×20, H&E, 12 tiles from the same stomach biopsy slide, 300×300 px each.
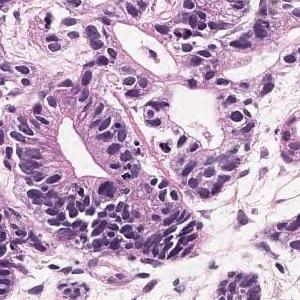
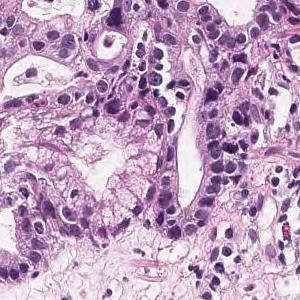
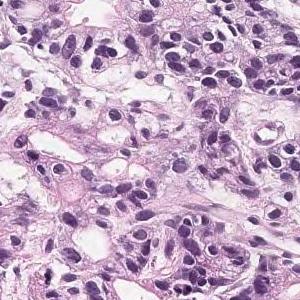
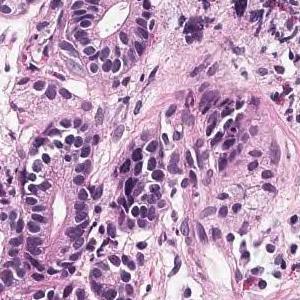
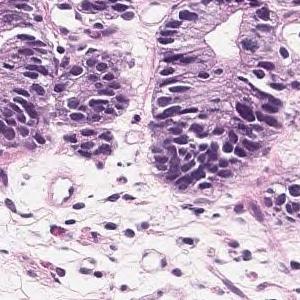
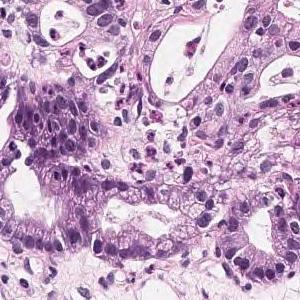
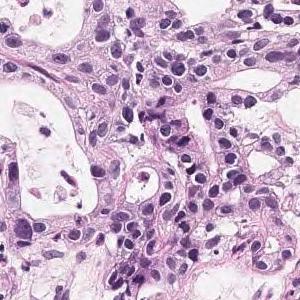
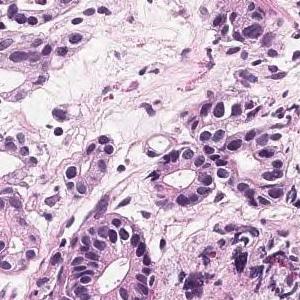
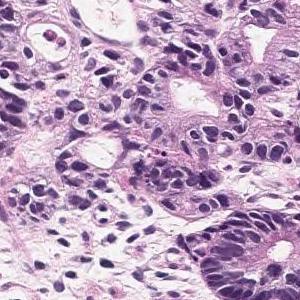
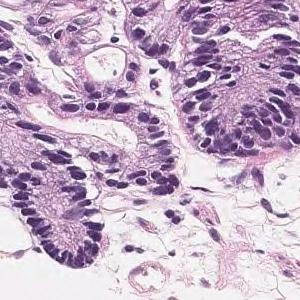
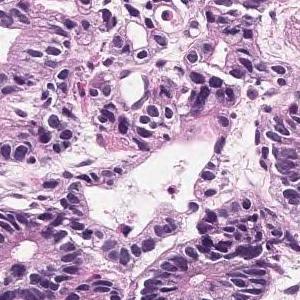
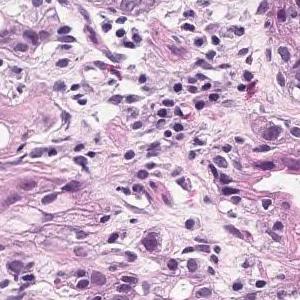
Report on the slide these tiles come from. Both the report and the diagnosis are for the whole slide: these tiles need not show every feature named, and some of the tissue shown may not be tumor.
On the superficial epithelium, tumor tissue consisting of large, irregular glandular ducts partially fused and infiltrated is observed. Well to moderately differentiated tubular adenocarcinoma (well differentiated tubular adenocarcinoma, moderately differentiated tubular adenocarcinoma)
Subtype: Well to moderately differentiated tubular adenocarcinoma.
